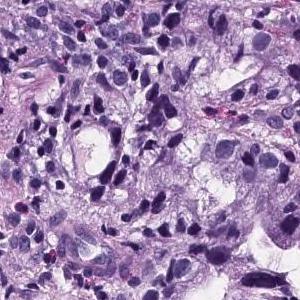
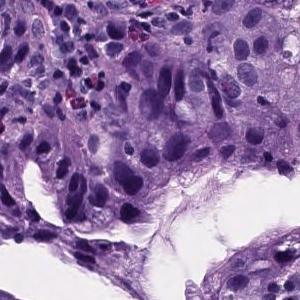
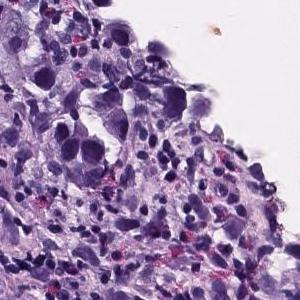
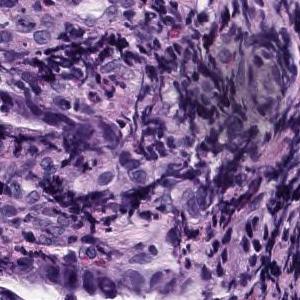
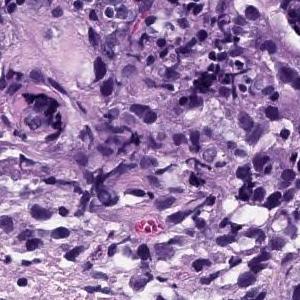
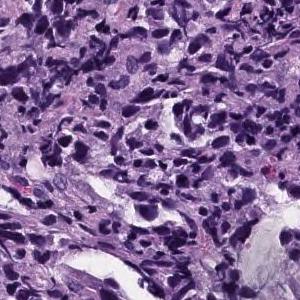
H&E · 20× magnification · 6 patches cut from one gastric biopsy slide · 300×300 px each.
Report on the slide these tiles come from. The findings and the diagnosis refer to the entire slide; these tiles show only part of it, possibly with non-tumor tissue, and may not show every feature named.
Atypical epithelial cells infiltrating and proliferating while forming solid or cord-like fused glandular cavities of different sizes is observed. moderately differentiated tubular adenocarcinoma, poorly differentiated adenocarcinoma.
Histologic type: Moderately to poorly differentiated adenocarcinoma.
